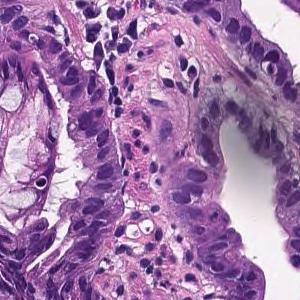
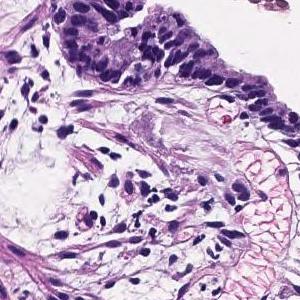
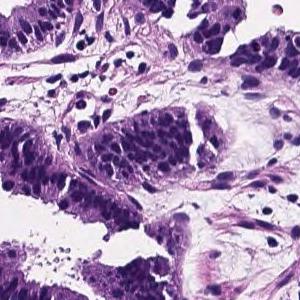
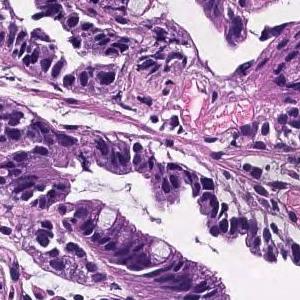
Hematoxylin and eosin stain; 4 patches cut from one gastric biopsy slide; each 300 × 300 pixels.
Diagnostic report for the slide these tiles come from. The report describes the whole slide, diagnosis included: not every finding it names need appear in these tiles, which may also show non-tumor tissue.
Tumor cells are large, highly columnar, large club-shaped nuclei, and are associated with chromatin aggregation. Papillary adenocarcinoma.
